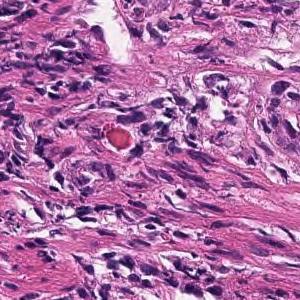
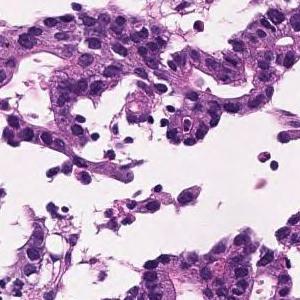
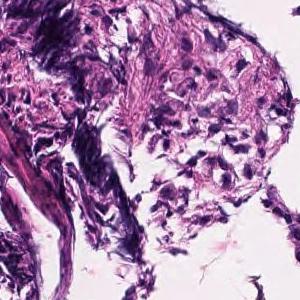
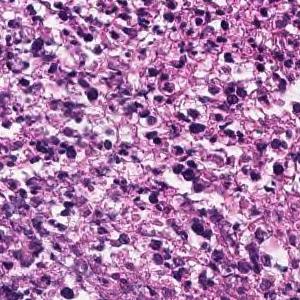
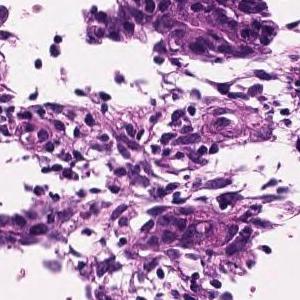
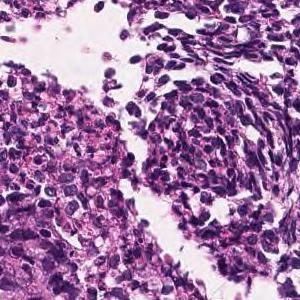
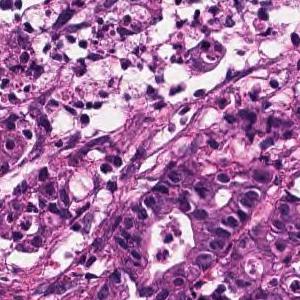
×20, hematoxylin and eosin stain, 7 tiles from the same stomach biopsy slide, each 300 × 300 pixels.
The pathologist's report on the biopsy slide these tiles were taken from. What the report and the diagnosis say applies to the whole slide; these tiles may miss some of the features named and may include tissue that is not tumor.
In the superficial epithelium, medium to small, irregular gland ducts are formed, and in some cases, the gland ducts are fused to show solid alveolar lesions and infiltrating tumor tissue is observed. Moderately to poorly differentiated adenocarcinoma.
